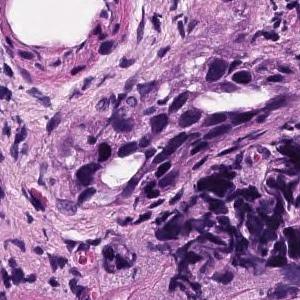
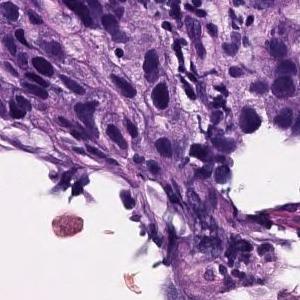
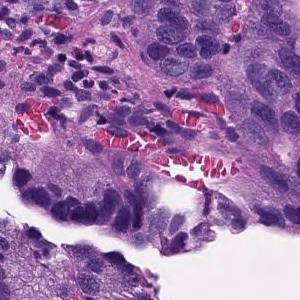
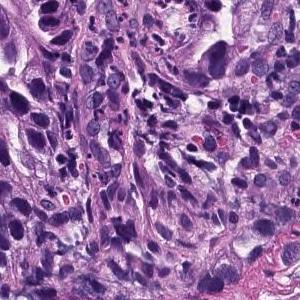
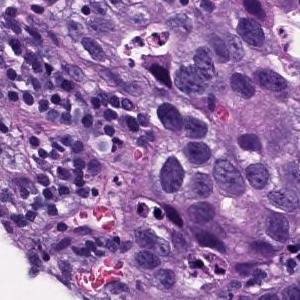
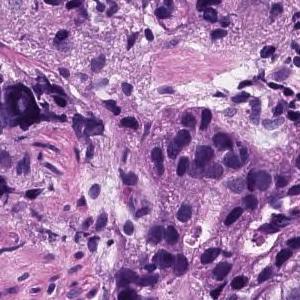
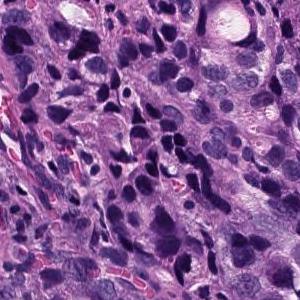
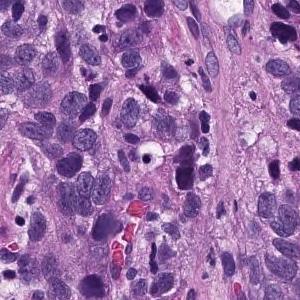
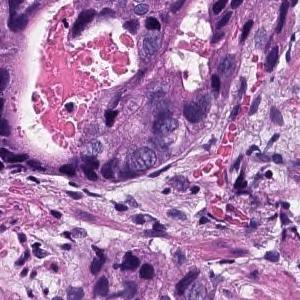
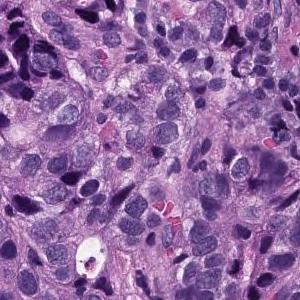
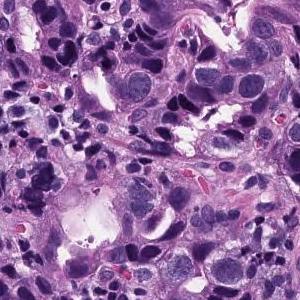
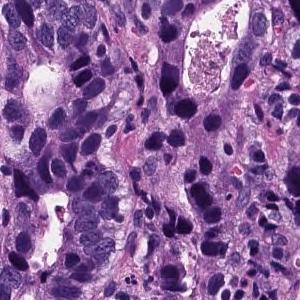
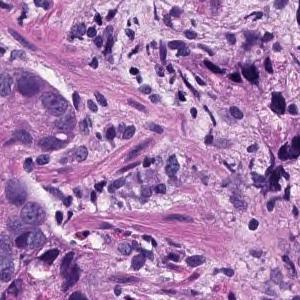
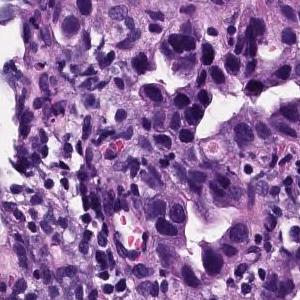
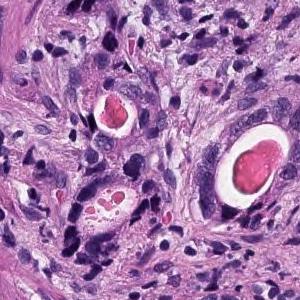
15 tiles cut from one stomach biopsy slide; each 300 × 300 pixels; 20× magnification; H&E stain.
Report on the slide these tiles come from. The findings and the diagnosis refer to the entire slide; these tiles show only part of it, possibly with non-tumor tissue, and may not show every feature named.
In the epithelium, tumor tissue in which medium to small irregular gland ducts fuse with each other and infiltrate the submucosa. moderately differentiated tubular adenocarcinoma
